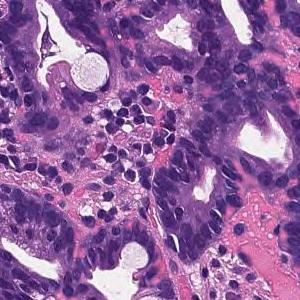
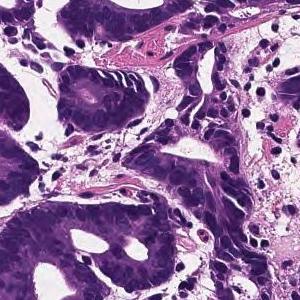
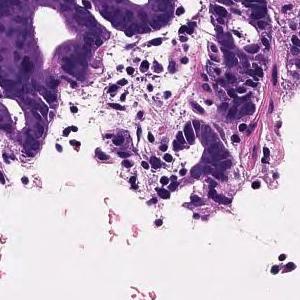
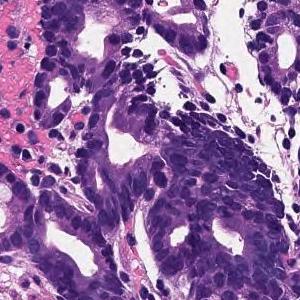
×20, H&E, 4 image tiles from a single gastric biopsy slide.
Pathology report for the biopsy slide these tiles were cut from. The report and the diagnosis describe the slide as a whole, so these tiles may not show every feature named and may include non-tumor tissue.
On the superficial epithelium, tumor tissue is found in which medium-sized irregular gland ducts fuse with each other and infiltrate. moderately differentiated tubular adenocarcinoma
